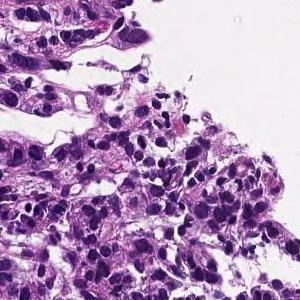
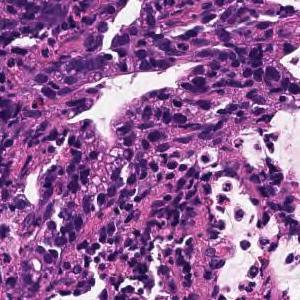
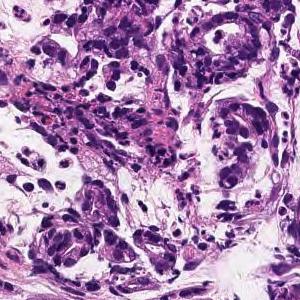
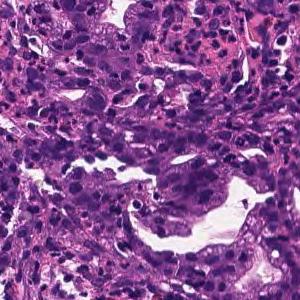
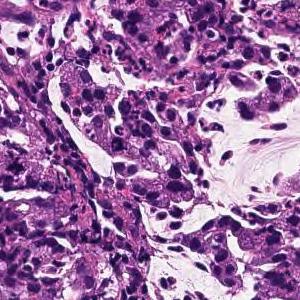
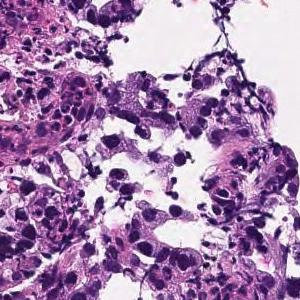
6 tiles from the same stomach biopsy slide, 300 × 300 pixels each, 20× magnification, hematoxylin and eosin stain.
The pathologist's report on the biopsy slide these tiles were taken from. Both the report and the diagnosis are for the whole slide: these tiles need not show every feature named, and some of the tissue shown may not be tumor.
On the superficial epithelium, tumor tissue consisting of large, irregular glandular ducts partially fused and infiltrated is observed. Well to moderately differentiated tubular adenocarcinoma (well differentiated tubular adenocarcinoma, moderately differentiated tubular adenocarcinoma)
Tumor subtype: well to moderately differentiated tubular adenocarcinoma.
